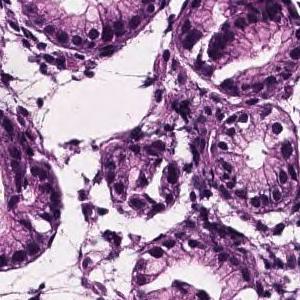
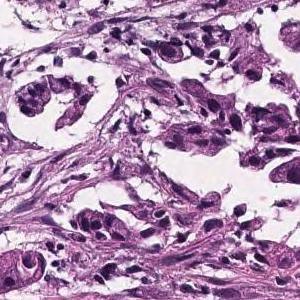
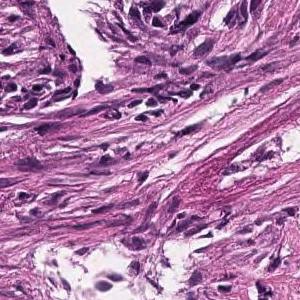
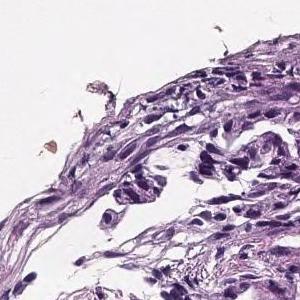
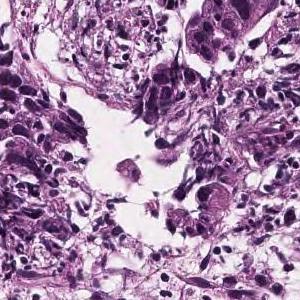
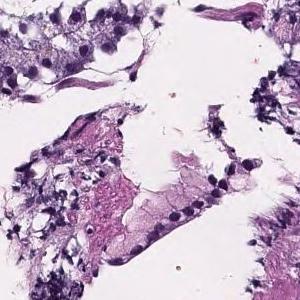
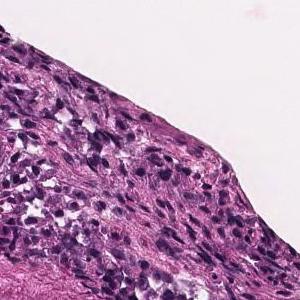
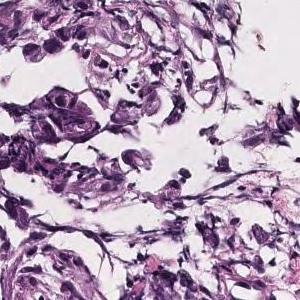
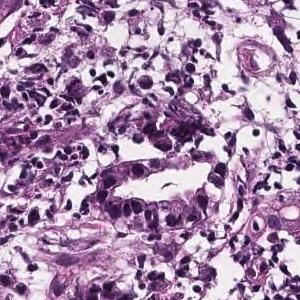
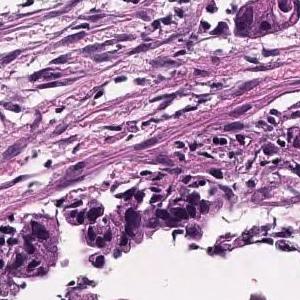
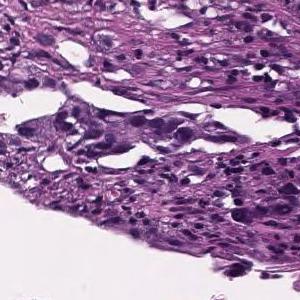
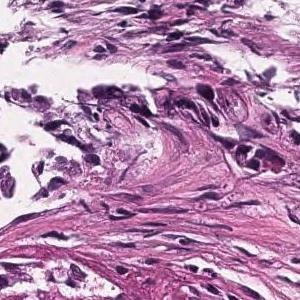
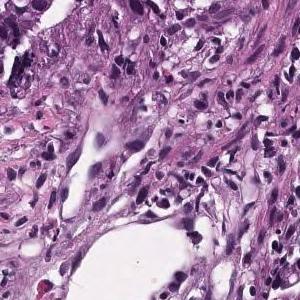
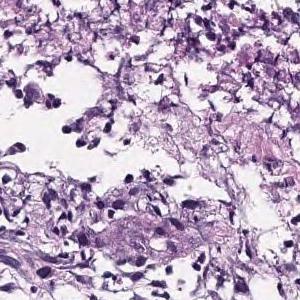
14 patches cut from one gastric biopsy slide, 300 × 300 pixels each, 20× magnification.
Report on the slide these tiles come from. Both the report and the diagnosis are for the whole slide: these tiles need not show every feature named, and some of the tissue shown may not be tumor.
In the superficial epithelium, tumor tissue that invades by forming medium-sized to small, irregular ducts is observed. moderately differentiated tubular adenocarcinoma.
